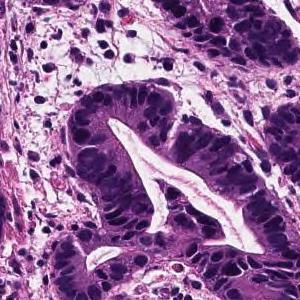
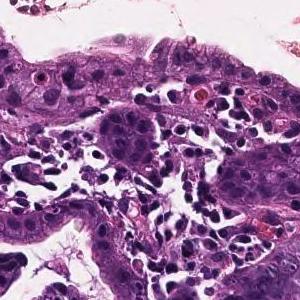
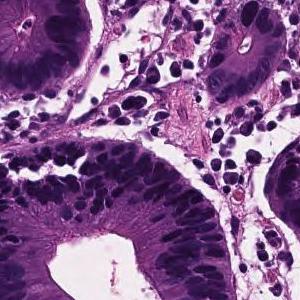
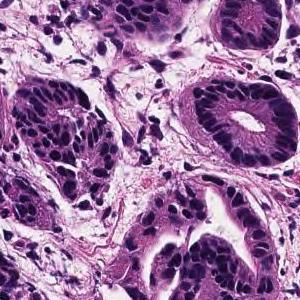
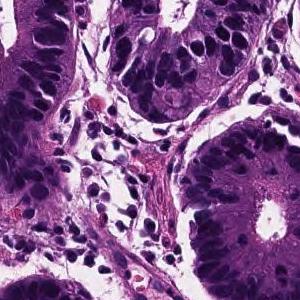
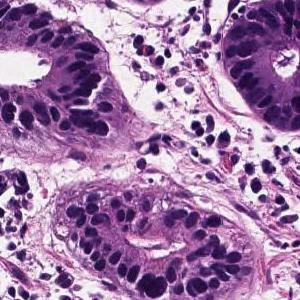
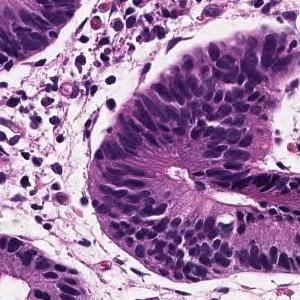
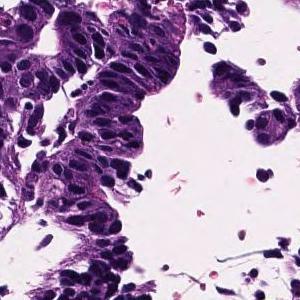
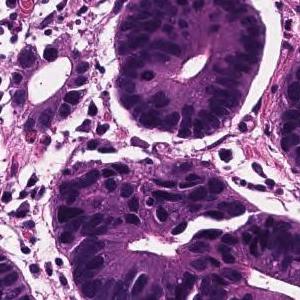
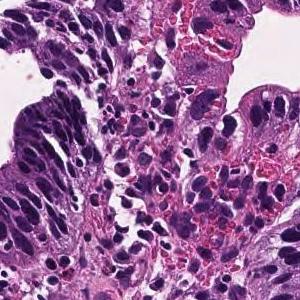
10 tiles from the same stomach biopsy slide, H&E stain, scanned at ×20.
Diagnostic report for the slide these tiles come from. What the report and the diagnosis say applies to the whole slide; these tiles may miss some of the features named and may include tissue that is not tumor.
From the superficial epithelium to the muscularis mucosae, tumor tissue consisting of medium-sized and irregular glandular ducts infiltrating is observed. Well differentiated tubular adenocarcinoma
